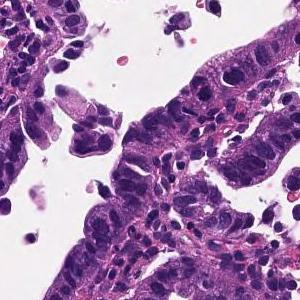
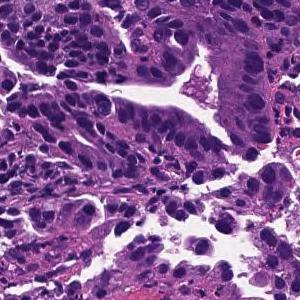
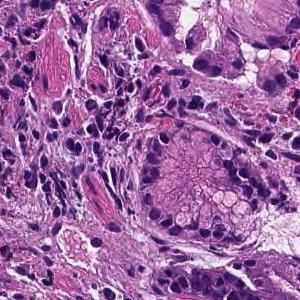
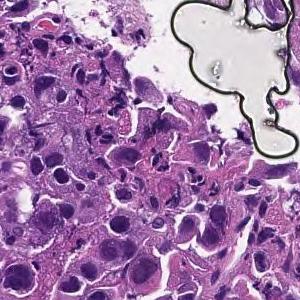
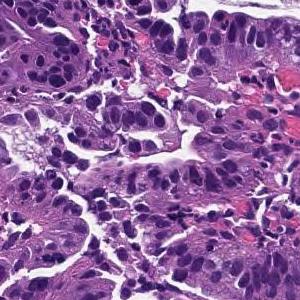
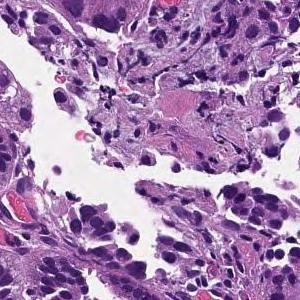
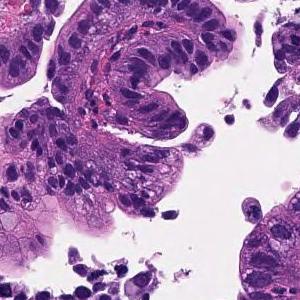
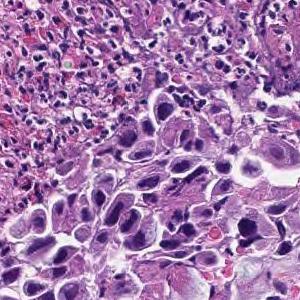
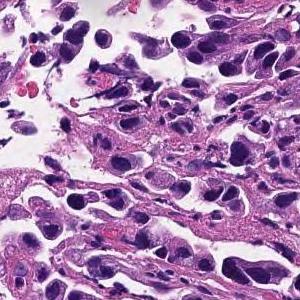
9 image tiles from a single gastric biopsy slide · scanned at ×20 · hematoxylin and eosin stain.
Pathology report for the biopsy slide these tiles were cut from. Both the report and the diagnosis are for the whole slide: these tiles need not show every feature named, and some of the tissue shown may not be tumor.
Tumor tissue consisting of medium-sized, cord-like or irregular glandular infiltration is observed in the superficial epithelium. Poorly differentiated adenocarcinoma, non-solid type or moderately differentiated tubular adenocarcinoma
Histologic type: Moderately to poorly differentiated adenocarcinoma.
"Non-solid type" is a category of the Japanese Classification of Gastric Carcinoma.
